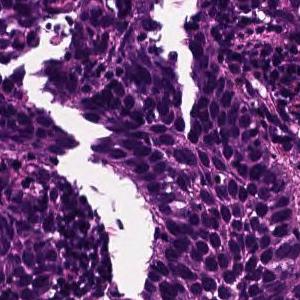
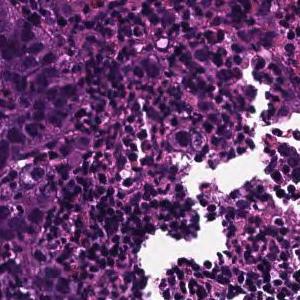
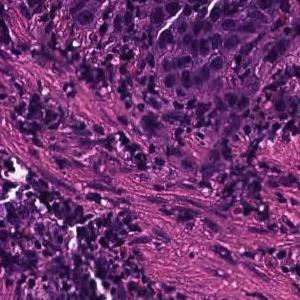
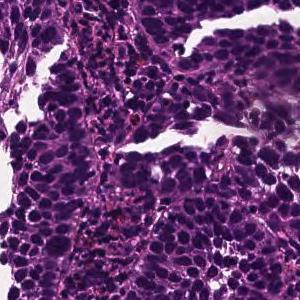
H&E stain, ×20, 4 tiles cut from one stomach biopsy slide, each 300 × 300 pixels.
Diagnostic report for the slide these tiles come from. What the report and the diagnosis say applies to the whole slide; these tiles may miss some of the features named and may include tissue that is not tumor.
Tumor tissue consisting of cord-like or small, irregular glandular ducts fused and infiltrated is observed in the superficial epithelium. Poorly differentiated adenocarcinoma, non-solid type
The term "non-solid type" comes from the Japanese Classification of Gastric Carcinoma.
